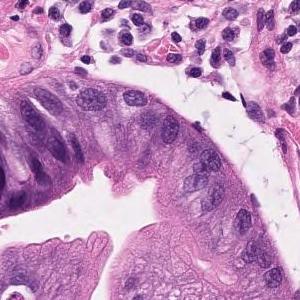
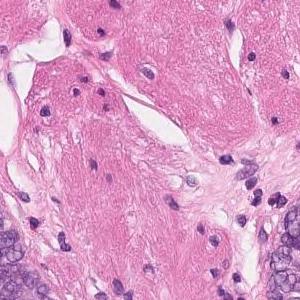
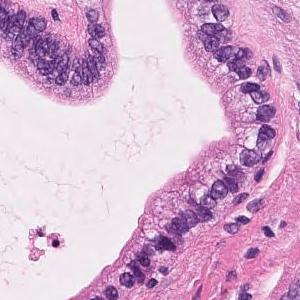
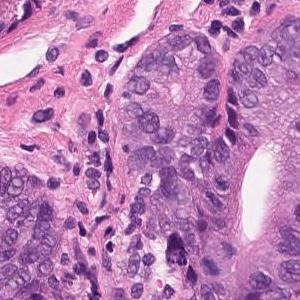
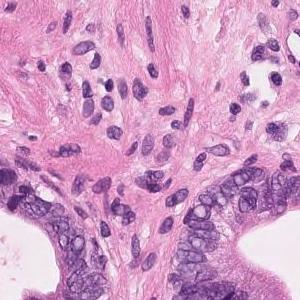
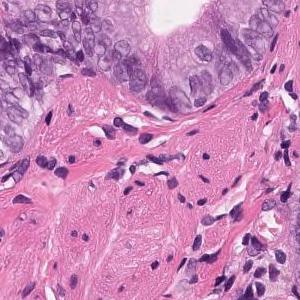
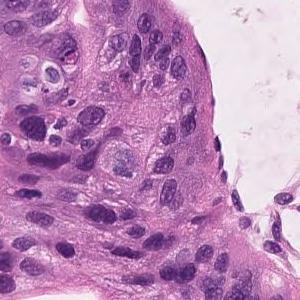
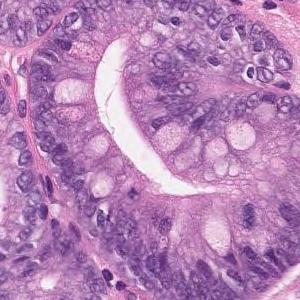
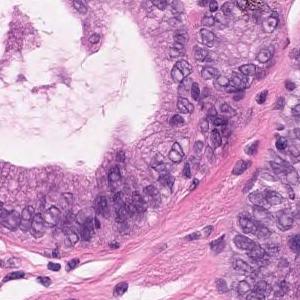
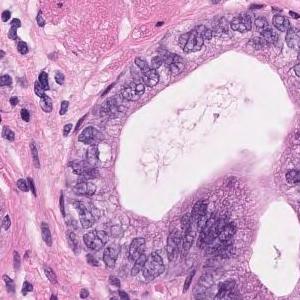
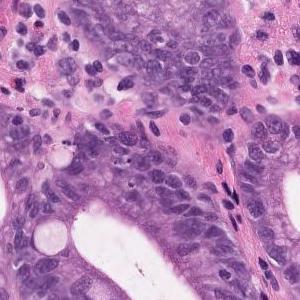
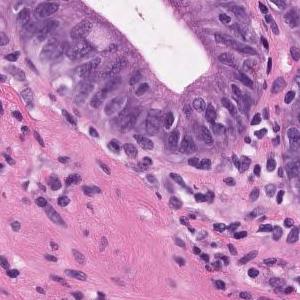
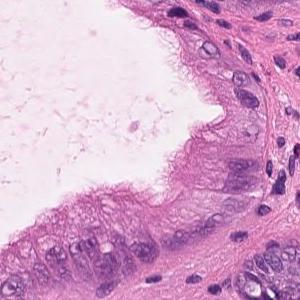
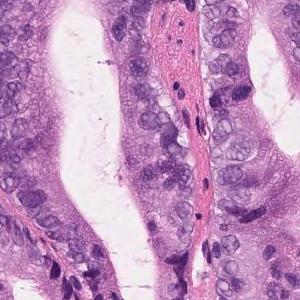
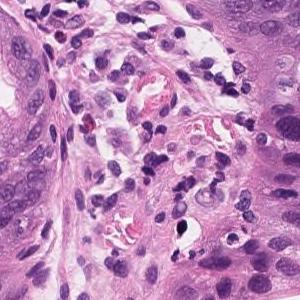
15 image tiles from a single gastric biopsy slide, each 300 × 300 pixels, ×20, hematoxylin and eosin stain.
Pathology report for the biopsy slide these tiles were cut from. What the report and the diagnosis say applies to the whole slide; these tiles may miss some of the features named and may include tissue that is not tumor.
Atypical l cells with atypical nuclei forming irregular glandular ducts. Well differentiated tubuar adenocarcinoma (well differentiated tubular adenocarcinoma)
Classified as well differentiated tubular adenocarcinoma.
